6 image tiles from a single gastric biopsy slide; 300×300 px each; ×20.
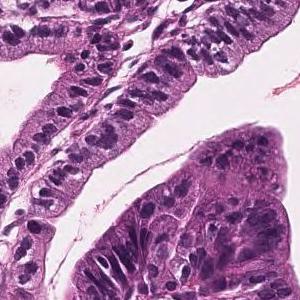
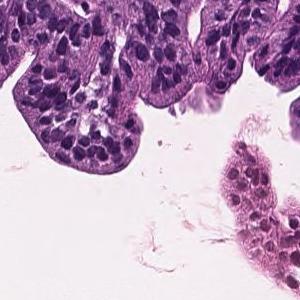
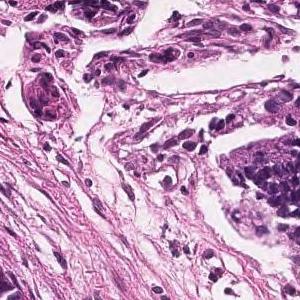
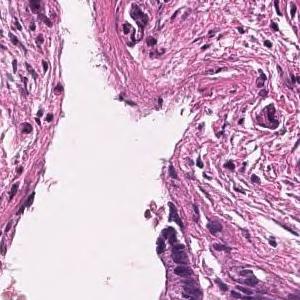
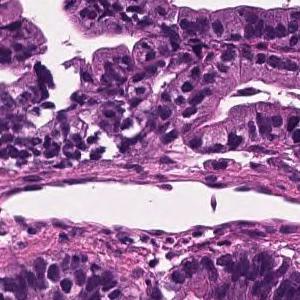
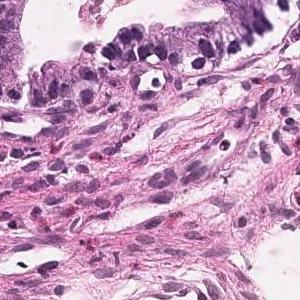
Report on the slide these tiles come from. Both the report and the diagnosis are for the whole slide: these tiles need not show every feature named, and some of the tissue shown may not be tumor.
Tumor cells are large, highly columnar, large club-shaped nuclei, and are associated with chromatin aggregation. Papillary adenocarcinoma.
